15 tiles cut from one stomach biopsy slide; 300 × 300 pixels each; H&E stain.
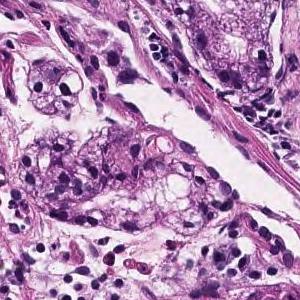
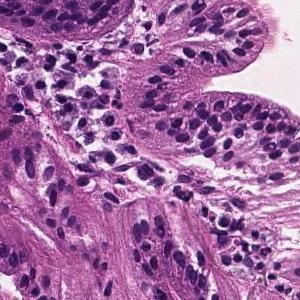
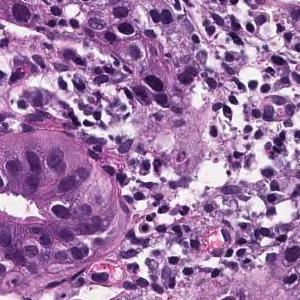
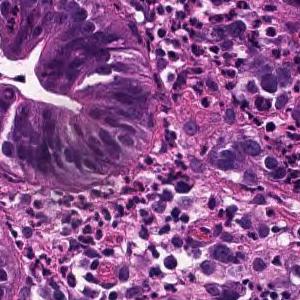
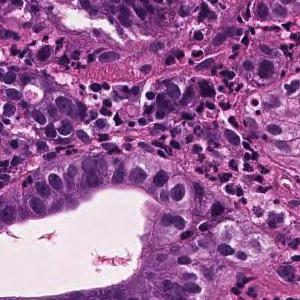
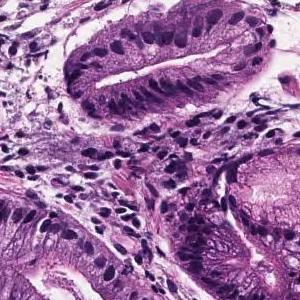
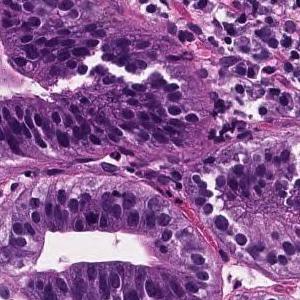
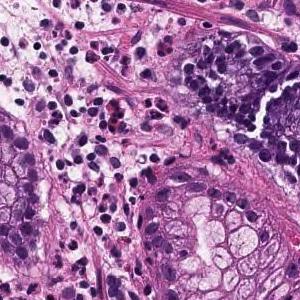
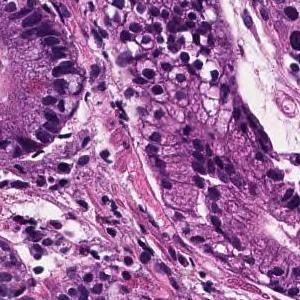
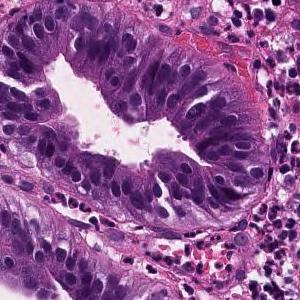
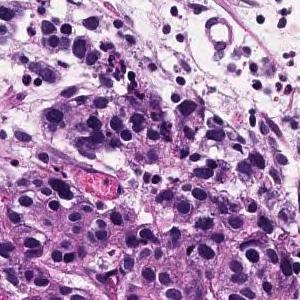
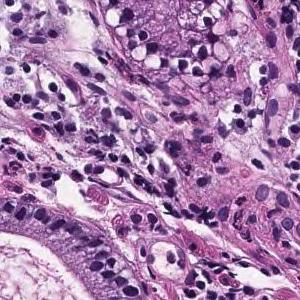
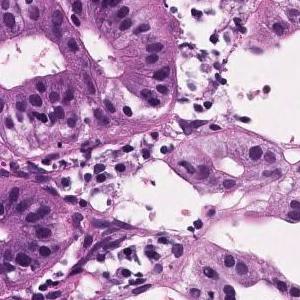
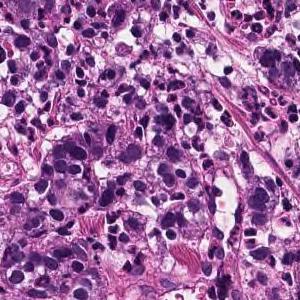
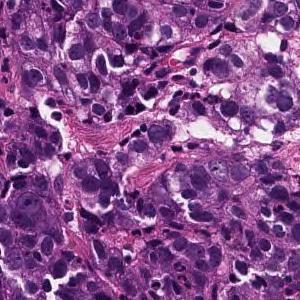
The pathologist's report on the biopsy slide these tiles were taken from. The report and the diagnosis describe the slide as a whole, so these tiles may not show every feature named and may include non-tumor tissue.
In the superficial epithelium, tumor tissue that invades by forming medium-sized to small, irregular ducts is observed. moderately differentiated tubular adenocarcinoma.
